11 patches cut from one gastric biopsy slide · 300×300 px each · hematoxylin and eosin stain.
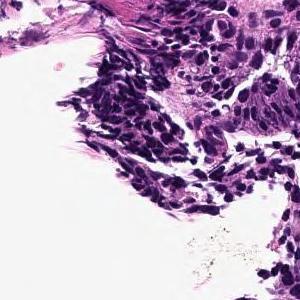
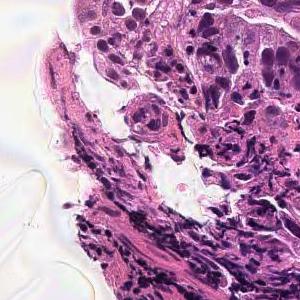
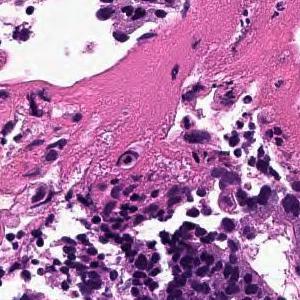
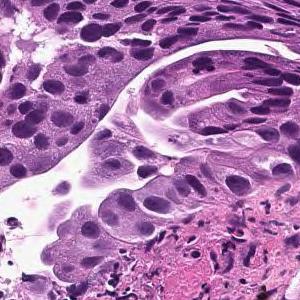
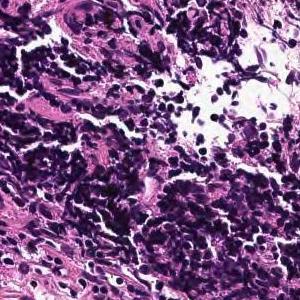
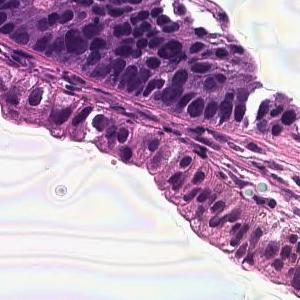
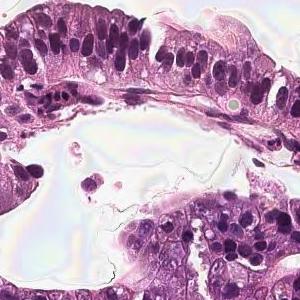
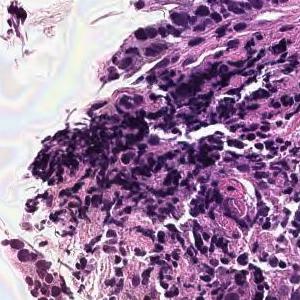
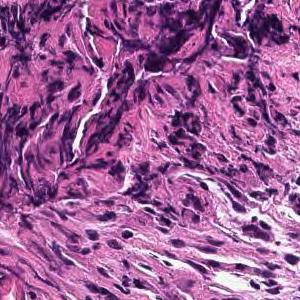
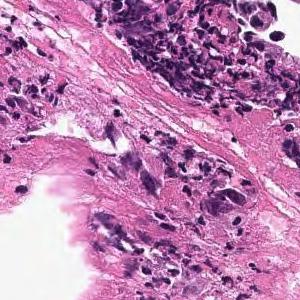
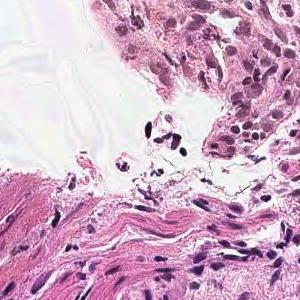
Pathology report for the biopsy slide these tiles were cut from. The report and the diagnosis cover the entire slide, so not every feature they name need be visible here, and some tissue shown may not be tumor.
On the superficial epithelium, tumor tissue that infiltrates by forming medium-sized papillary or small irregular ducts is observed. Papillary adenocarcinoma
